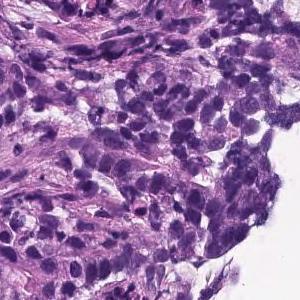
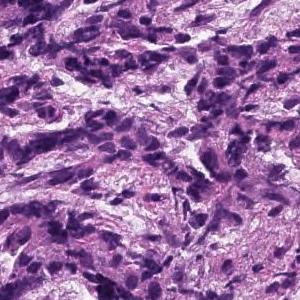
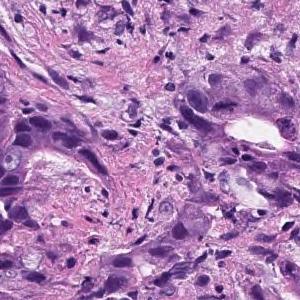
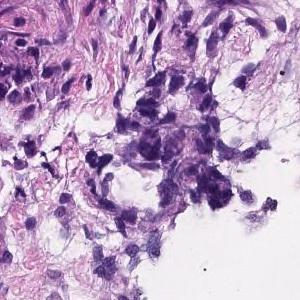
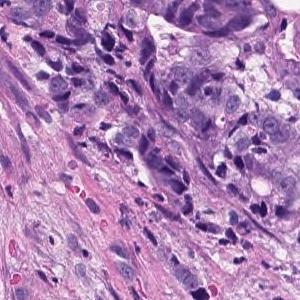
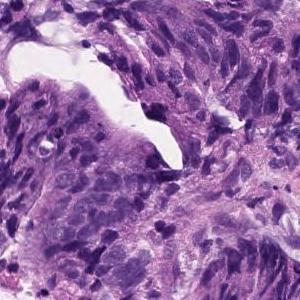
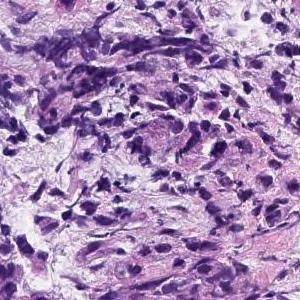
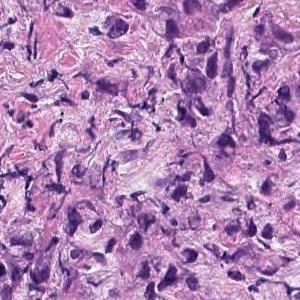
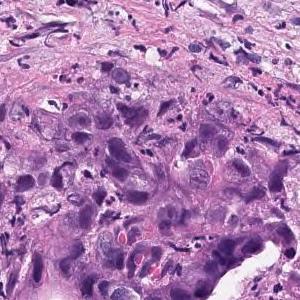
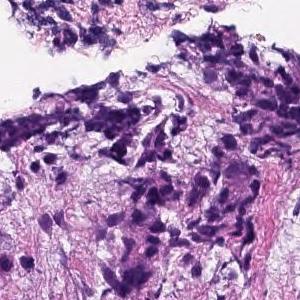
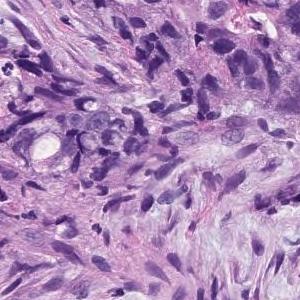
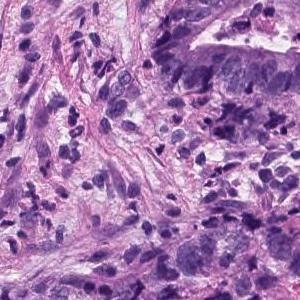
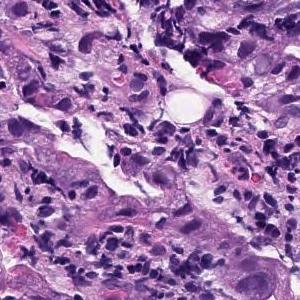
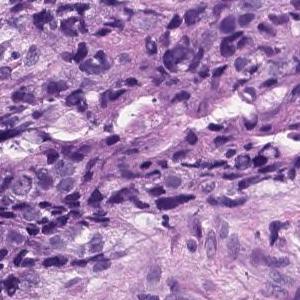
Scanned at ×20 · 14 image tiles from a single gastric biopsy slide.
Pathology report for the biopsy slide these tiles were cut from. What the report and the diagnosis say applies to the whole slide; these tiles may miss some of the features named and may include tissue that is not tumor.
Medium to small, irregular glandular ducts are formed in the superficial epithelium, and in some cases, the glandular ducts are fused to show solid alveolar lesions and infiltrating tumor tissue is observed. Moderately to poorly differentiated adenocarcinoma.
